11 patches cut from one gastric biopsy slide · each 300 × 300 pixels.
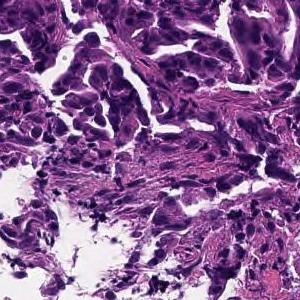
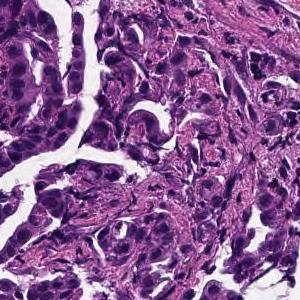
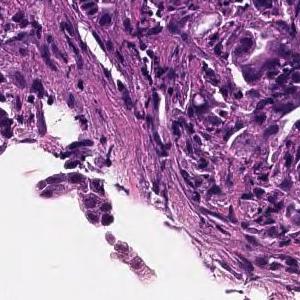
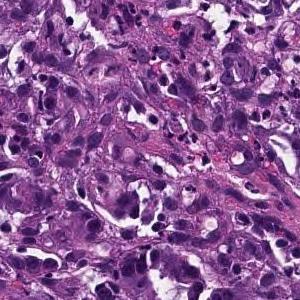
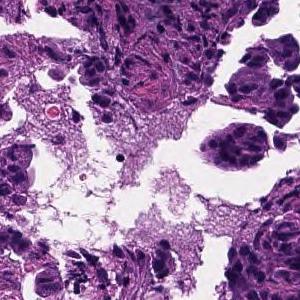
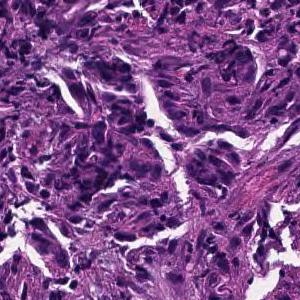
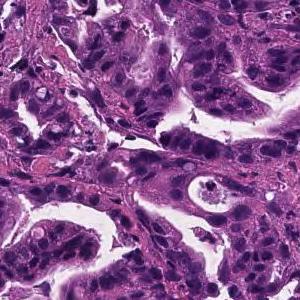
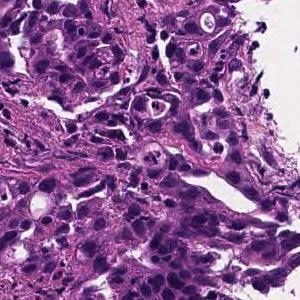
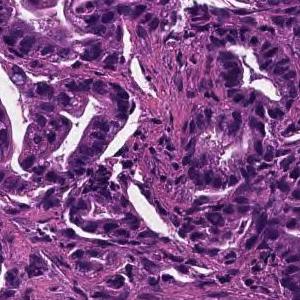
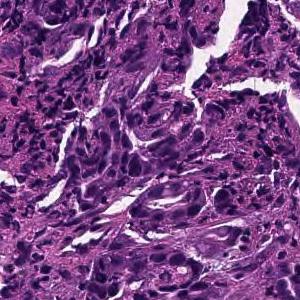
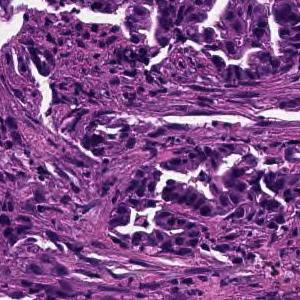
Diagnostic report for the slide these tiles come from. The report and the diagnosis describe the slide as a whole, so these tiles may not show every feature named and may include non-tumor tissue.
Tumor tissue consisting of medium-sized, cord-like or irregular glandular infiltration is observed in the superficial epithelium. Poorly differentiated adenocarcinoma, non-solid type or moderately differentiated tubular adenocarcinoma
Histologic type: Moderately to poorly differentiated adenocarcinoma.
The non-solid type named here is a Japanese Classification of Gastric Carcinoma category.
